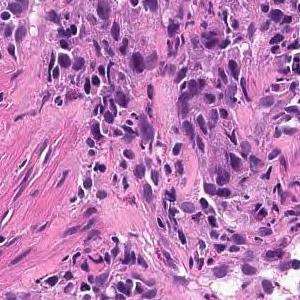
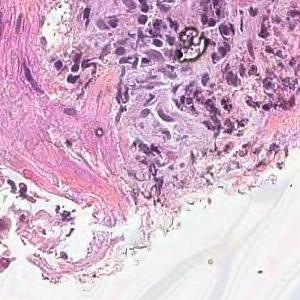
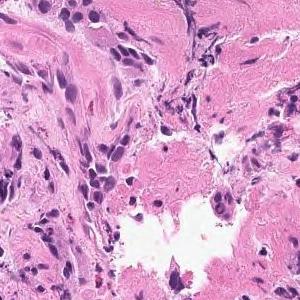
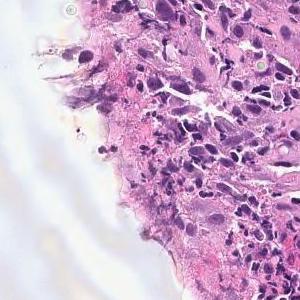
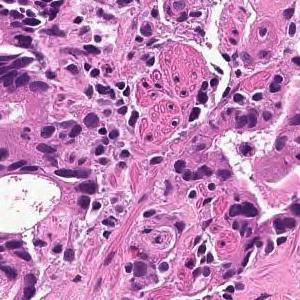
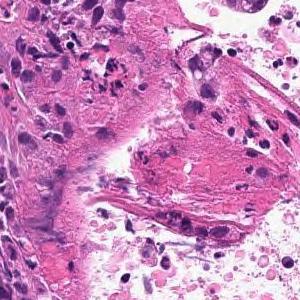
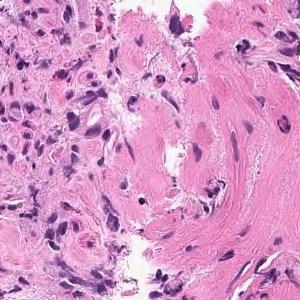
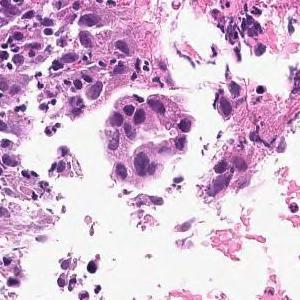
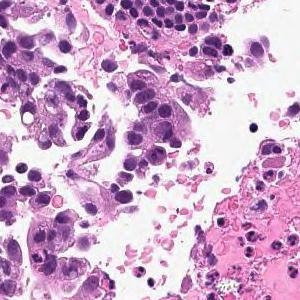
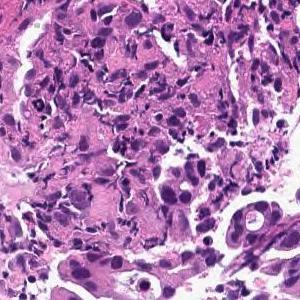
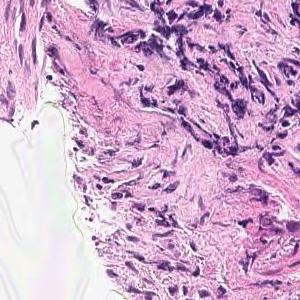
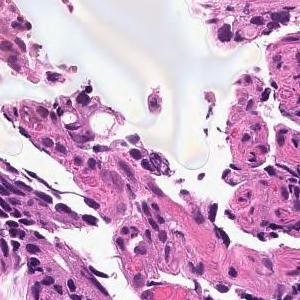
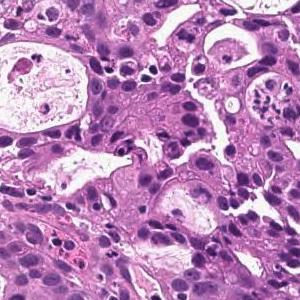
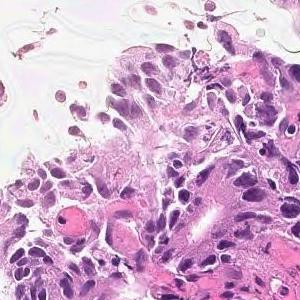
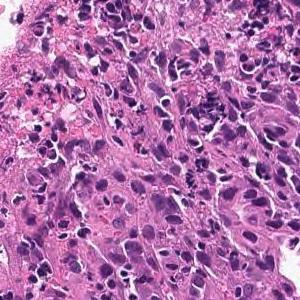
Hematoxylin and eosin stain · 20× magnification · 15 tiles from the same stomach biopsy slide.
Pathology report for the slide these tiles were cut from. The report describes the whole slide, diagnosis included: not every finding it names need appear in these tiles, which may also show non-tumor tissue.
On the superficial epithelium, tumor tissue consisting of large irregular glandular ducts partially fused and infiltrated is observed. Well to moderately differentiated tubular adenocarcinoma (well differentiated tubular adenocarcinoma, moderately differentiated tubular adenocarcinoma)
Histological subtype: Well to moderately differentiated tubular adenocarcinoma.
